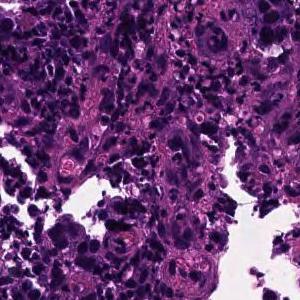
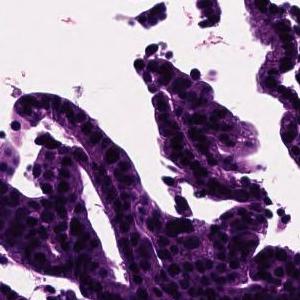
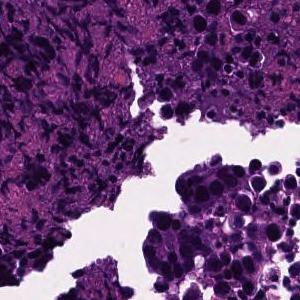
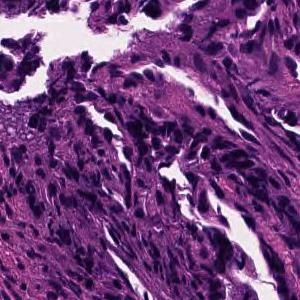
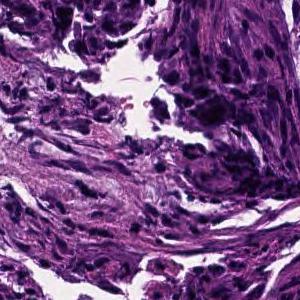
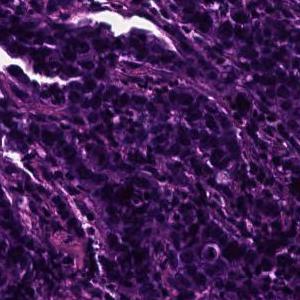
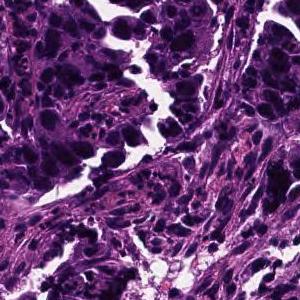
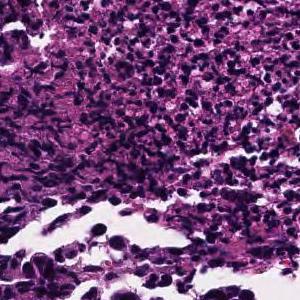
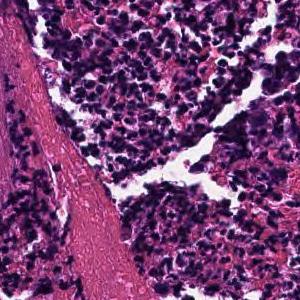
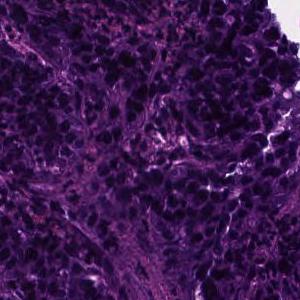
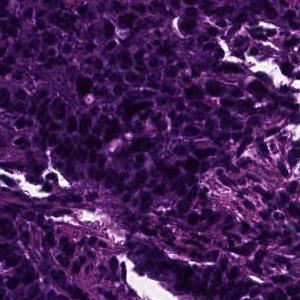
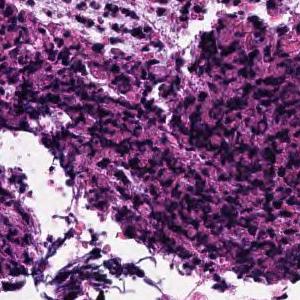
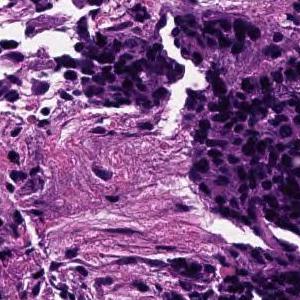
13 tiles from the same stomach biopsy slide; 300 × 300 pixels each; hematoxylin and eosin stain; 20× magnification.
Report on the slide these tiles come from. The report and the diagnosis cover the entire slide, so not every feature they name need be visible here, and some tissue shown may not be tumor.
In the superficial epithelium, tumor tissue that invades by forming medium-sized to small, irregular ducts is observed. moderately differentiated tubular adenocarcinoma.
